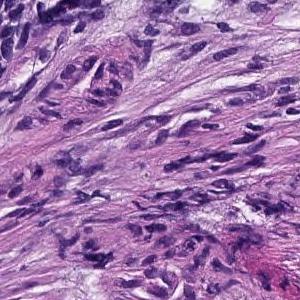
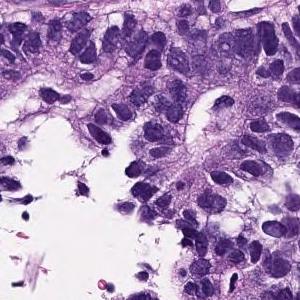
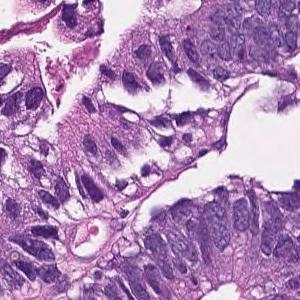
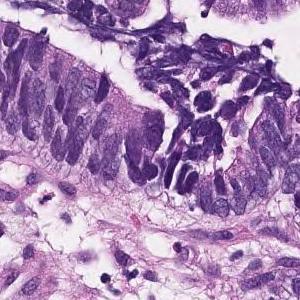
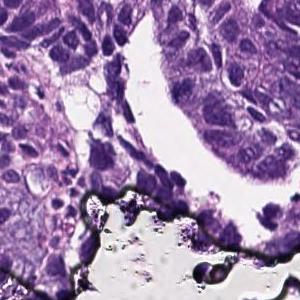
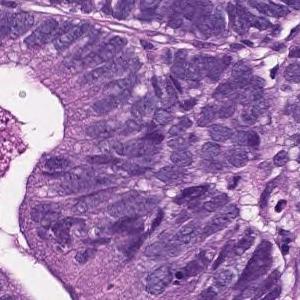
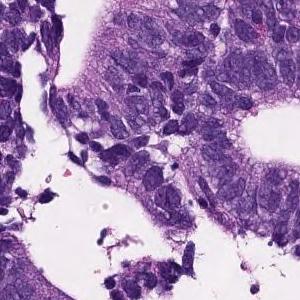
Scanned at ×20 · 7 patches cut from one gastric biopsy slide.
The pathologist's report on the biopsy slide these tiles were taken from. The findings and the diagnosis refer to the entire slide; these tiles show only part of it, possibly with non-tumor tissue, and may not show every feature named.
In the superficial epithelium, tumor tissue that invades by forming medium-sized to small, irregular ducts is observed. moderately differentiated tubular adenocarcinoma.
